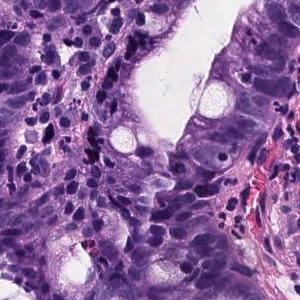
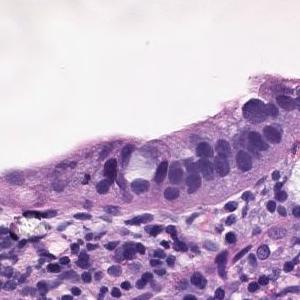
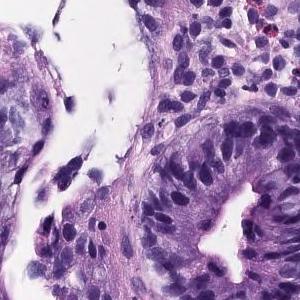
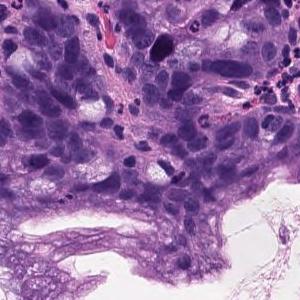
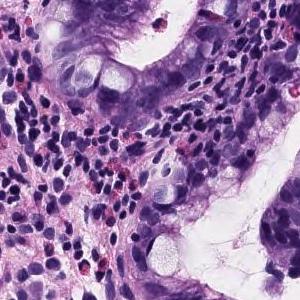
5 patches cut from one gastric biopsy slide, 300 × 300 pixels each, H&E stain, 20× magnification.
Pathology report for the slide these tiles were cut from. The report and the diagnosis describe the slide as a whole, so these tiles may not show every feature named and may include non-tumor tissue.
Tumor cells with strong nuclear atypia proliferate invasively, forming small to medium-sized irregular shaped ducts. moderately differentiated tubular adenocarcinoma
